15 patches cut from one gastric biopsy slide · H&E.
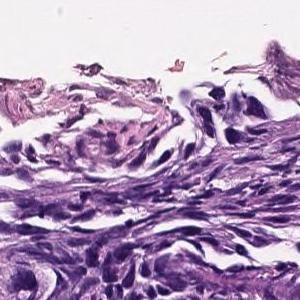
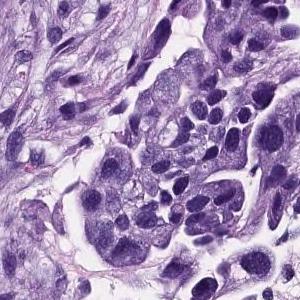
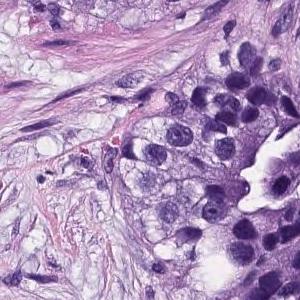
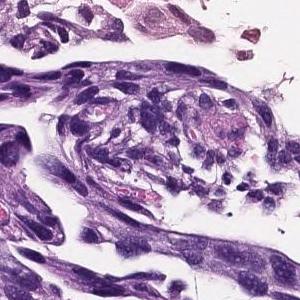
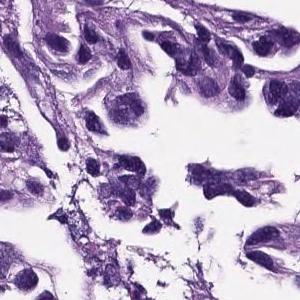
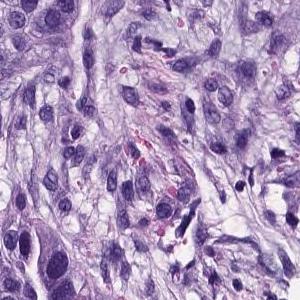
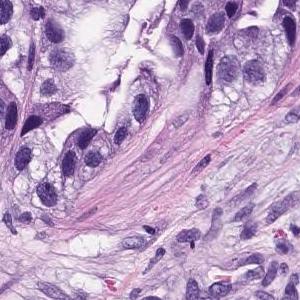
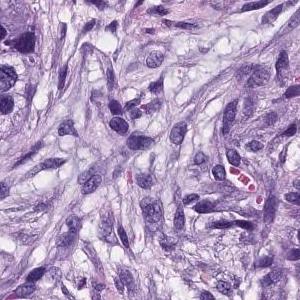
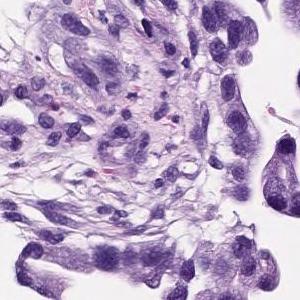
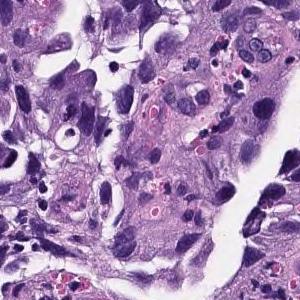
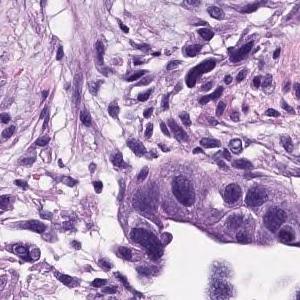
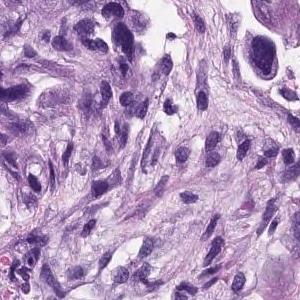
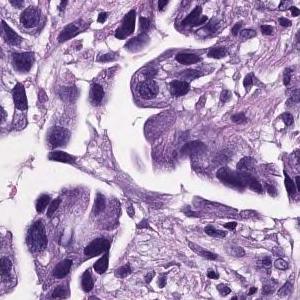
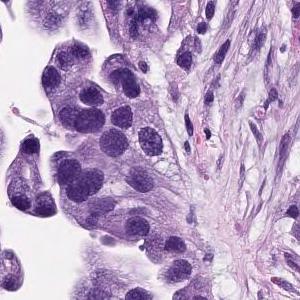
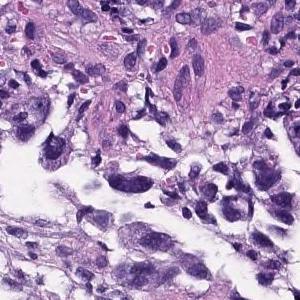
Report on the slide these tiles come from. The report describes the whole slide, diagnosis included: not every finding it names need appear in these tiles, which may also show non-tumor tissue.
gastric mucosal tissue with atypical glandular proliferation arranged in tubules and acini. The tumor cells showed hyperchromatic nuclei, high N/C ratio and loss of polarity. Tubular adenocarcinoma of stomach, moderately differentiated.
Classified as moderately differentiated tubular adenocarcinoma.
